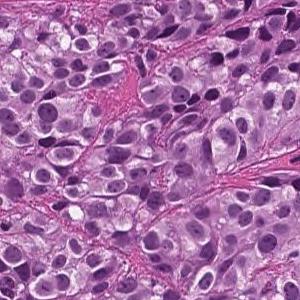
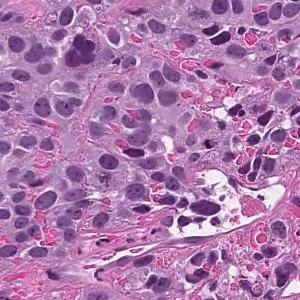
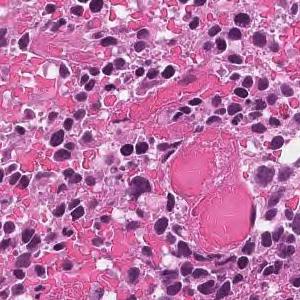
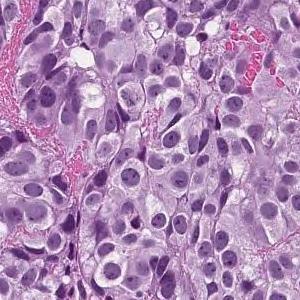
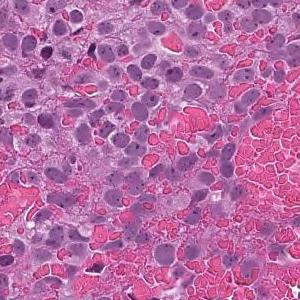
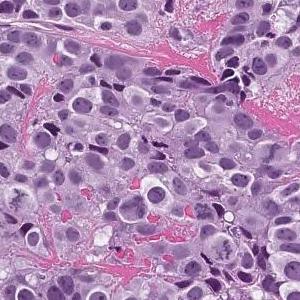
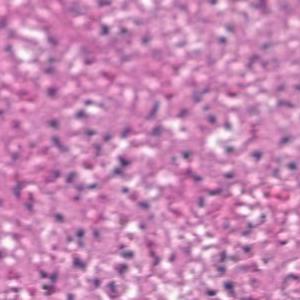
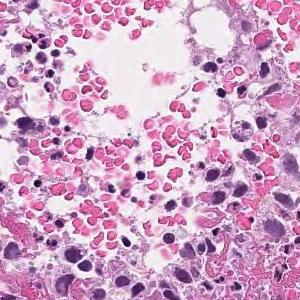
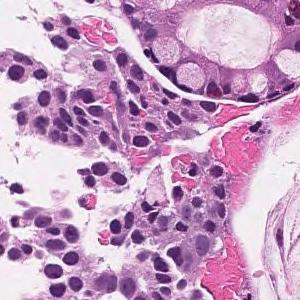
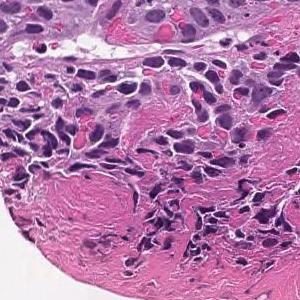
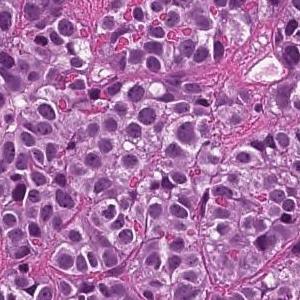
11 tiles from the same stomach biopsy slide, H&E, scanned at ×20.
The pathologist's report on the biopsy slide these tiles were taken from. The report describes the whole slide, diagnosis included: not every finding it names need appear in these tiles, which may also show non-tumor tissue.
The superficial epithelium shows a large sheet-like shape, and some tumor tissue infiltrates with small irregular ducts. Poorly differentiated adenocarcinoma, solid-type
Histological subtype: Poorly differentiated adenocarcinoma, solid type, a category of the Japanese Classification of Gastric Carcinoma; in the WHO 2019 classification it is tubular adenocarcinoma, poorly differentiated.
